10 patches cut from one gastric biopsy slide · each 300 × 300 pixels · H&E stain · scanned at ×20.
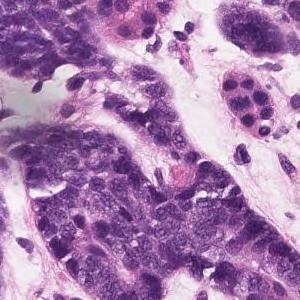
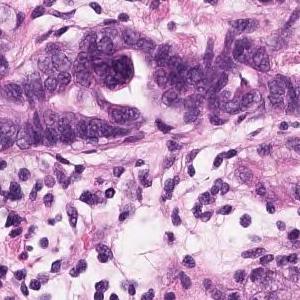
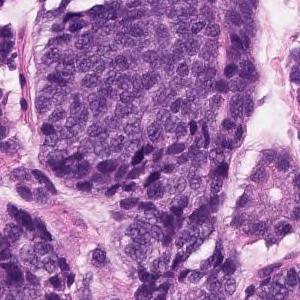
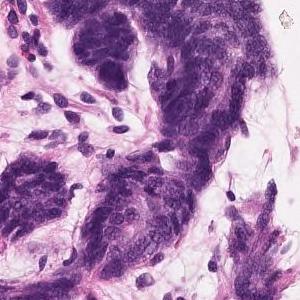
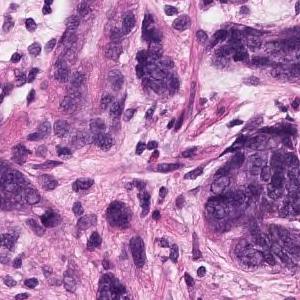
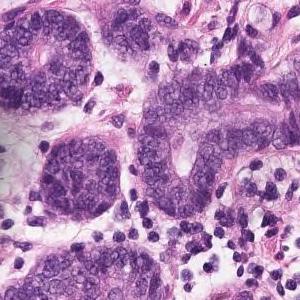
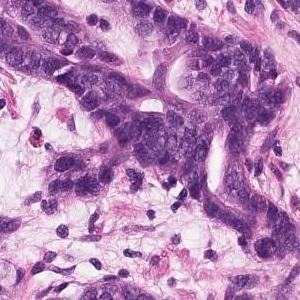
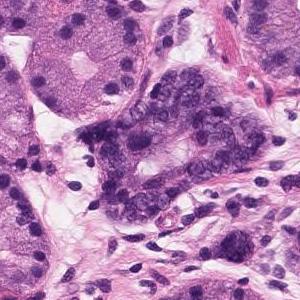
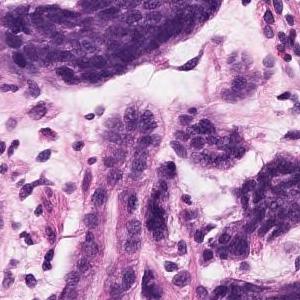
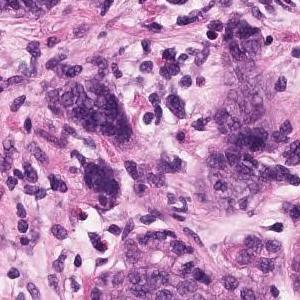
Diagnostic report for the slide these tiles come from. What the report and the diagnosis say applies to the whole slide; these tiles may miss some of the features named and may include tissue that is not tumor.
In the superficial epithelium, tumor tissue that invades by forming medium-sized to small, irregular ducts is observed. Moderately differentiated adenocarcinoma.
Tumor subtype: moderately differentiated tubular adenocarcinoma.
